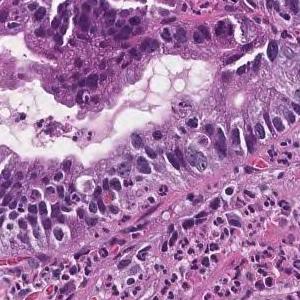
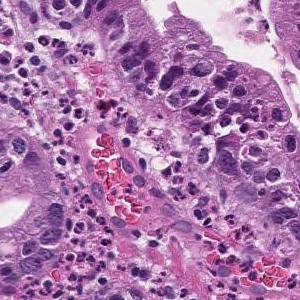
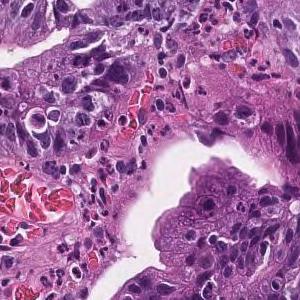
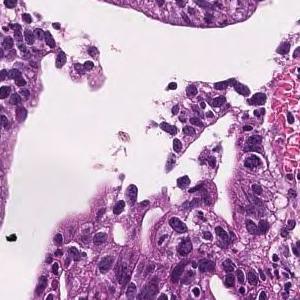
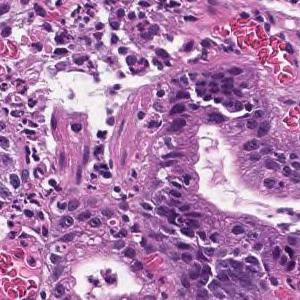
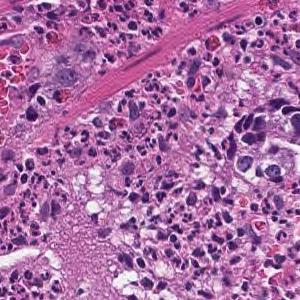
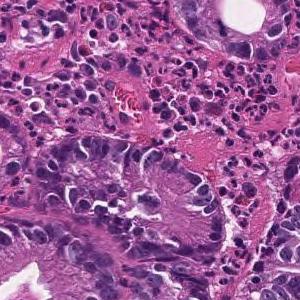
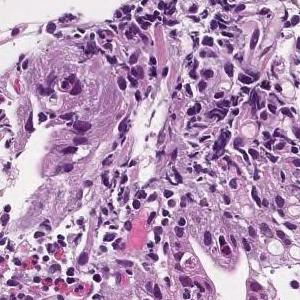
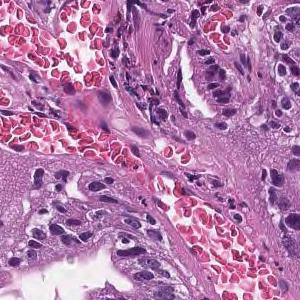
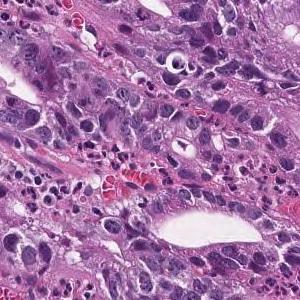
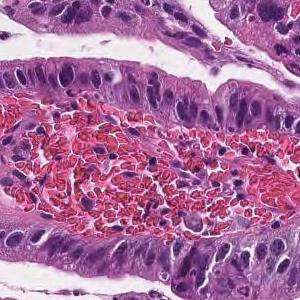
11 image tiles from a single gastric biopsy slide; each 300 × 300 pixels; 20× magnification; hematoxylin and eosin stain.
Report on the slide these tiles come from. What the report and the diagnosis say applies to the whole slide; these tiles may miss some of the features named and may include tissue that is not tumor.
Tumor cells are large, highly columnar, large club-shaped nuclei, and are associated with chromatin aggregation. Papillary adenocarcinoma.
